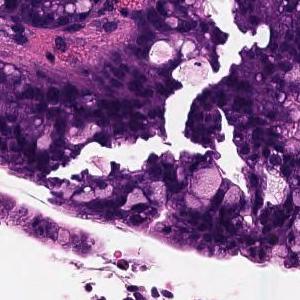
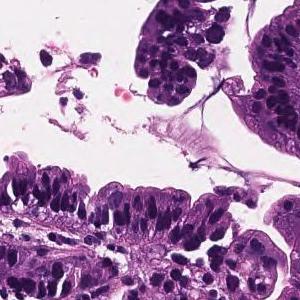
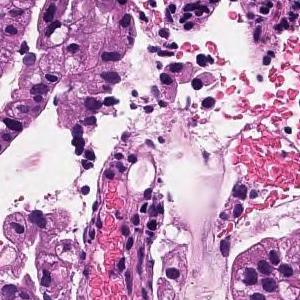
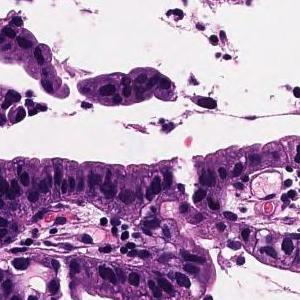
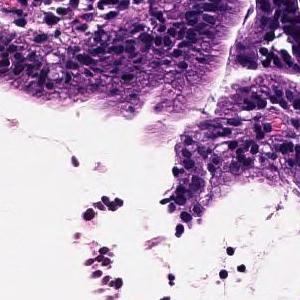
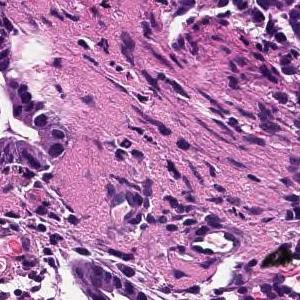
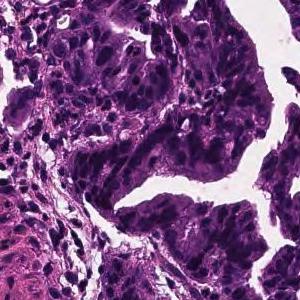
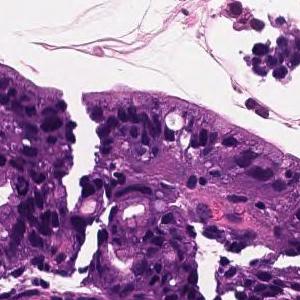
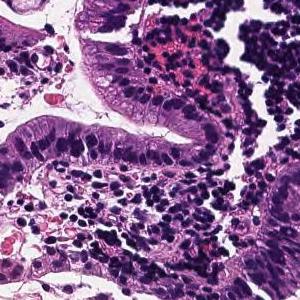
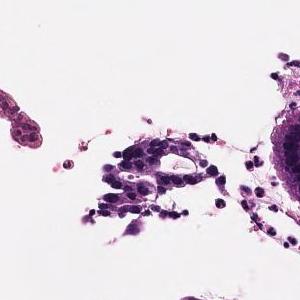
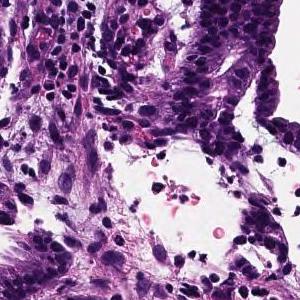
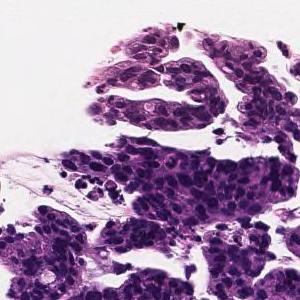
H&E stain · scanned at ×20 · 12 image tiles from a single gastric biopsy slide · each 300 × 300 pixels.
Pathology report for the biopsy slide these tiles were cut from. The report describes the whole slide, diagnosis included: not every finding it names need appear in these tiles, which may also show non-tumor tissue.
On the superficial epithelium, tumor tissue that infiltrates by forming medium-sized papillary or small irregular ducts is observed. Papillary adenocarcinoma
